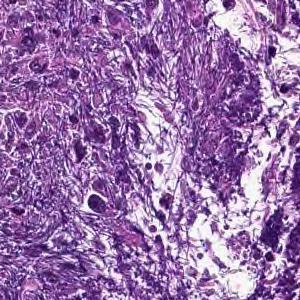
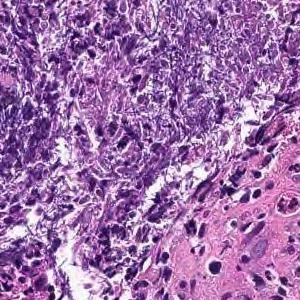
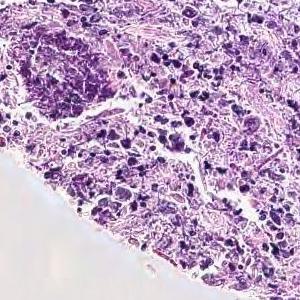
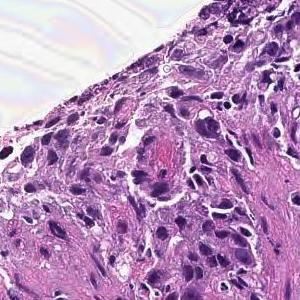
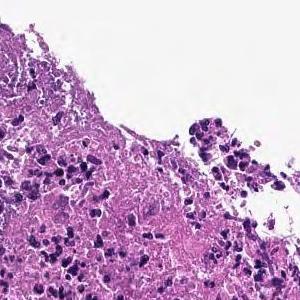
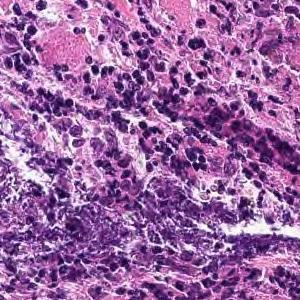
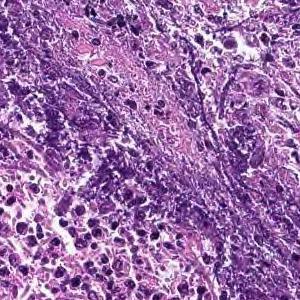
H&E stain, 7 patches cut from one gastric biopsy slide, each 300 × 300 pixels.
The pathologist's report on the biopsy slide these tiles were taken from. The report and the diagnosis cover the entire slide, so not every feature they name need be visible here, and some tissue shown may not be tumor.
Cancers with polygonal nuclei do not show glandular formation and are densely, in part, cord-like and proliferate. Poorly differentiated adenocarcinoma
Histologic type: Poorly differentiated adenocarcinoma, non-solid type.
The non-solid type named here is a Japanese Classification of Gastric Carcinoma category.
